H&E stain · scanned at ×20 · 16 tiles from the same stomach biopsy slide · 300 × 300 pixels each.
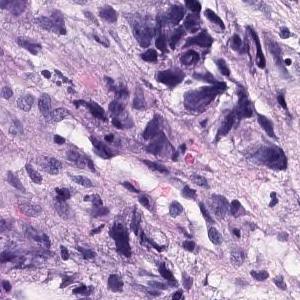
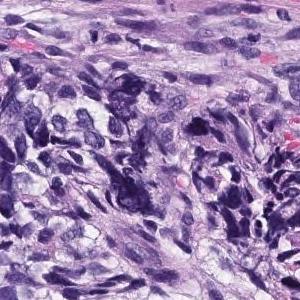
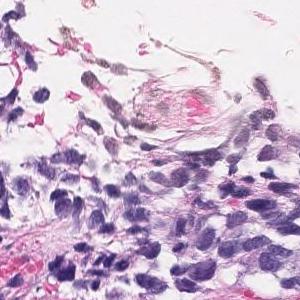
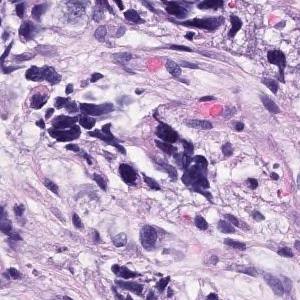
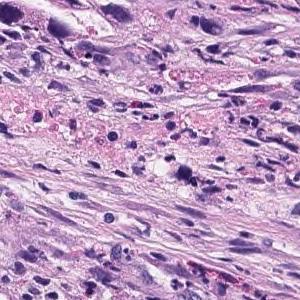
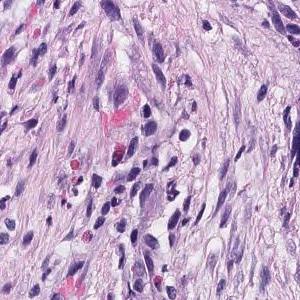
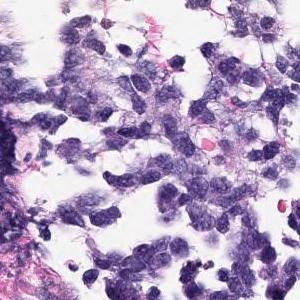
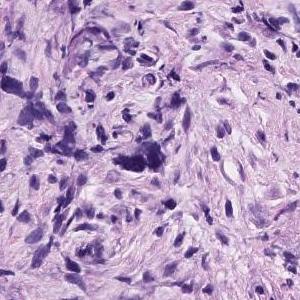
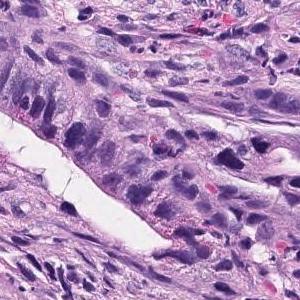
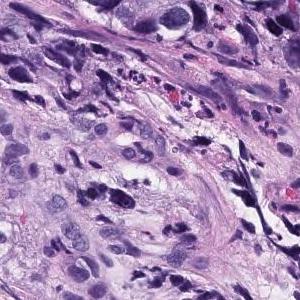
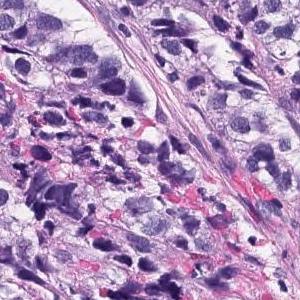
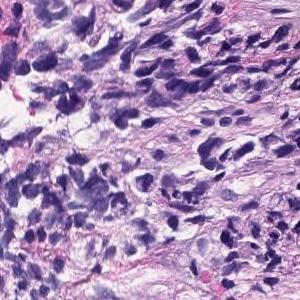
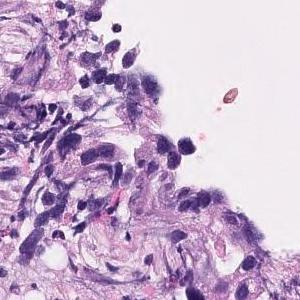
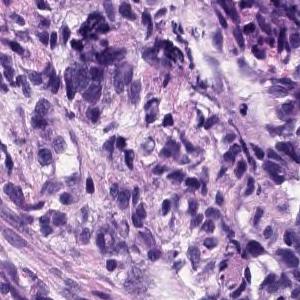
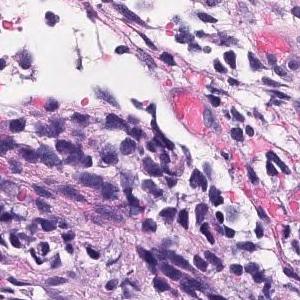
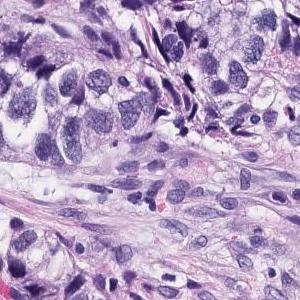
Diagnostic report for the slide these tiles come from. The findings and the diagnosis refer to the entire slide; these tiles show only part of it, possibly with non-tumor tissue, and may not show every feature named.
The superficial epithelium shows small cord-like infiltrating tumor tissue. Some part of neoplastic cells are signet ring cell type which show single invasion manner. Poorly differentiated adenocarcinoma, non-solid type.
"Non-solid type" is a category of the Japanese Classification of Gastric Carcinoma.
